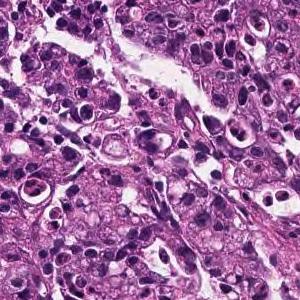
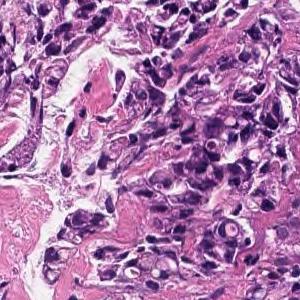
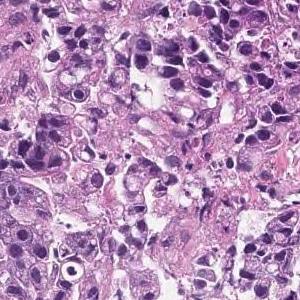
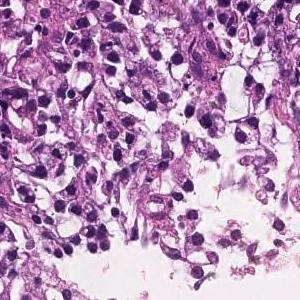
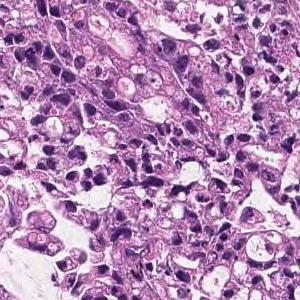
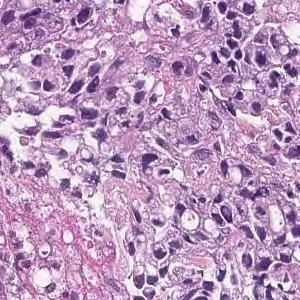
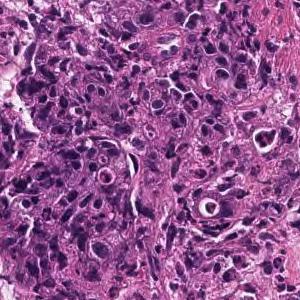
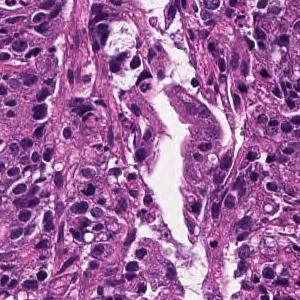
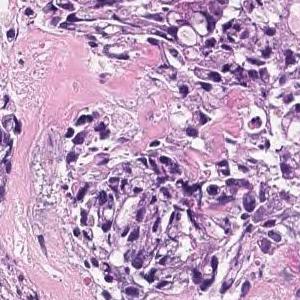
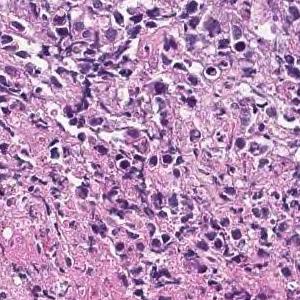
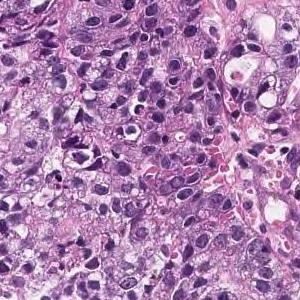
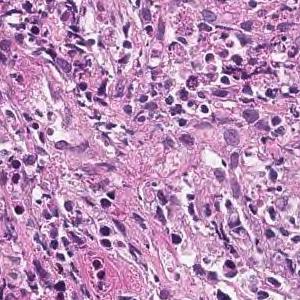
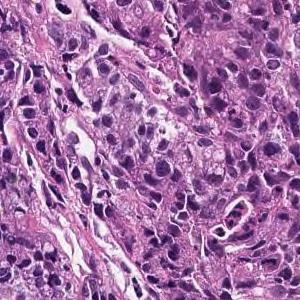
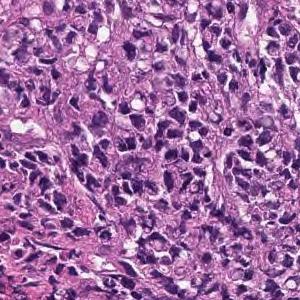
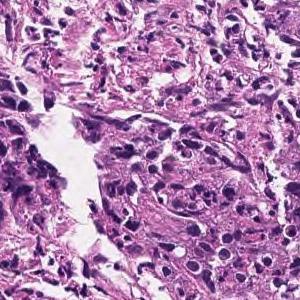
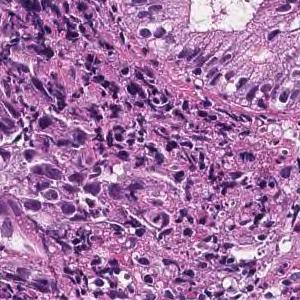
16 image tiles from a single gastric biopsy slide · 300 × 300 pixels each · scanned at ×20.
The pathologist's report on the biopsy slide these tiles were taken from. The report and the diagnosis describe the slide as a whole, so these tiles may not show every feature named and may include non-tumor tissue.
Medium to small, irregular glandular ducts are formed in the superficial epithelium, and in some cases, the glandular ducts are fused to show solid alveolar lesions and infiltrating tumor tissue is observed. Moderately to poorly differentiated adenocarcinoma.
